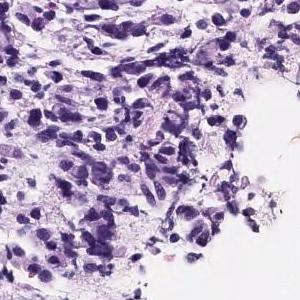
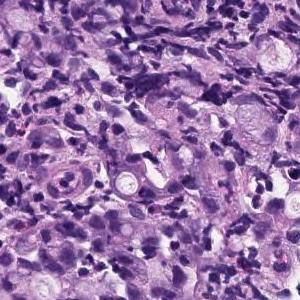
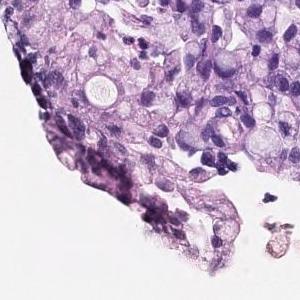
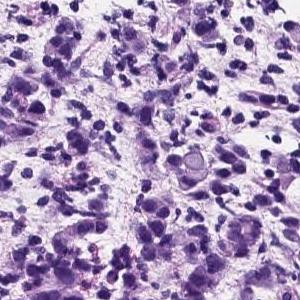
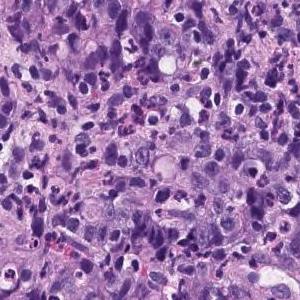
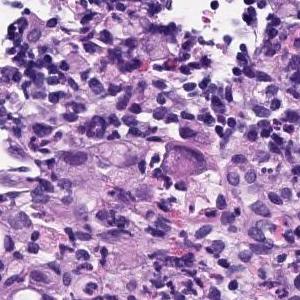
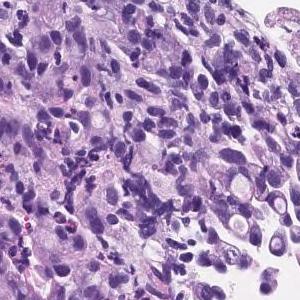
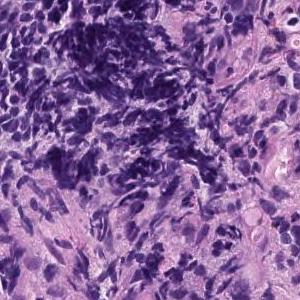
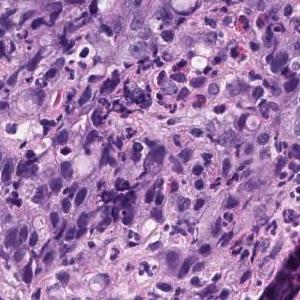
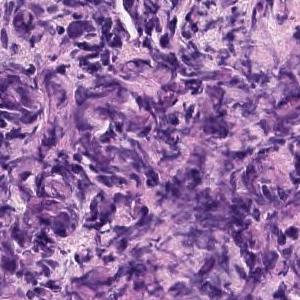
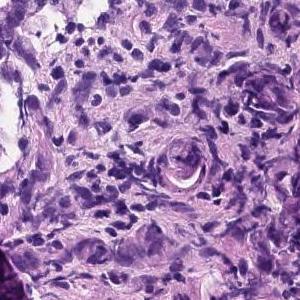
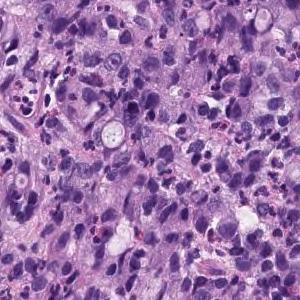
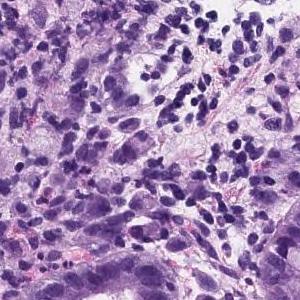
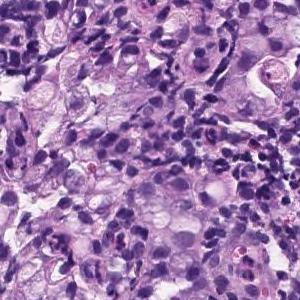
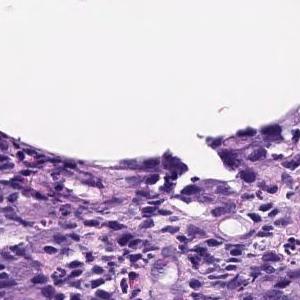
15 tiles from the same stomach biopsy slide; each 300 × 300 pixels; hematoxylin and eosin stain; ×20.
Pathology report for the slide these tiles were cut from. Both the report and the diagnosis are for the whole slide: these tiles need not show every feature named, and some of the tissue shown may not be tumor.
Diffusely growing signet-ring cells are found in the lamina propria. Signet ring cell carcinoma.
